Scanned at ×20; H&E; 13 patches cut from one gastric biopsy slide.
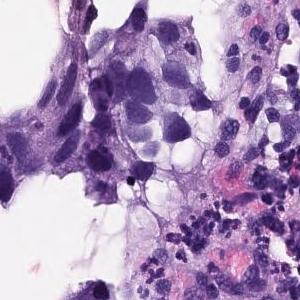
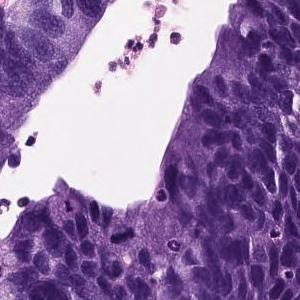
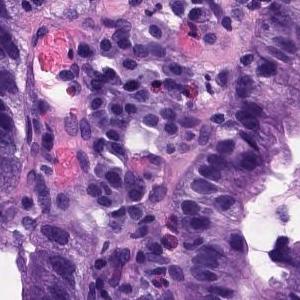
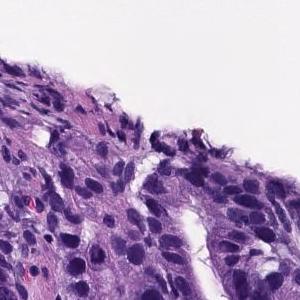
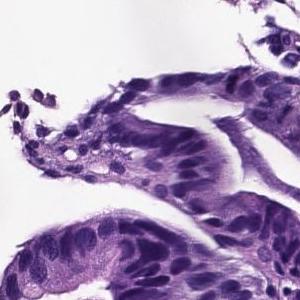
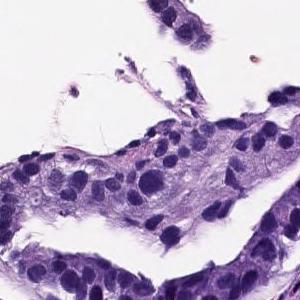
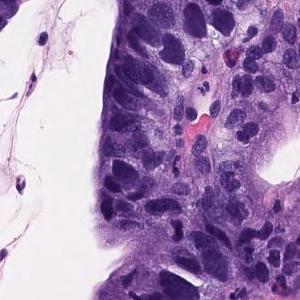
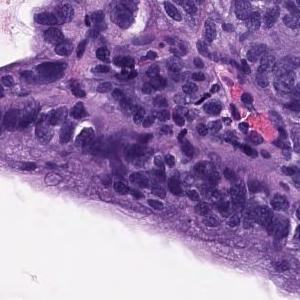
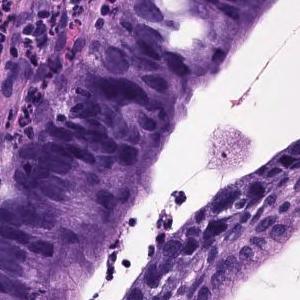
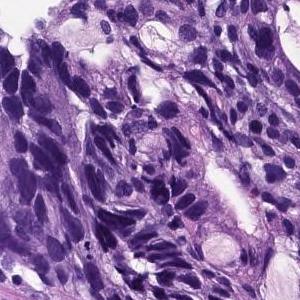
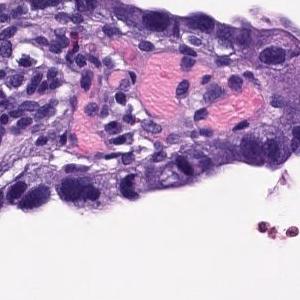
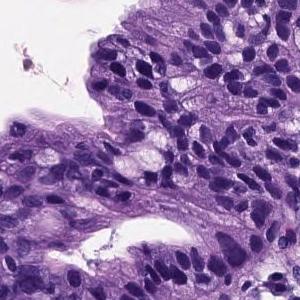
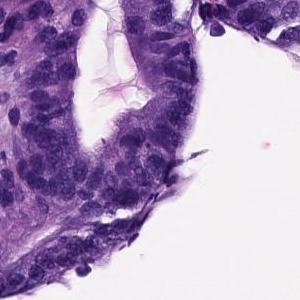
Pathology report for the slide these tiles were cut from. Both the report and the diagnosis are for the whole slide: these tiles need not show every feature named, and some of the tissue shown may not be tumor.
There are atypical l cells with atypical nuclei forming irregular glandular ducts and growing in a complex manner. Well differentiated tubular adenocarcinoma
